8 tiles cut from one stomach biopsy slide, H&E stain, 20× magnification.
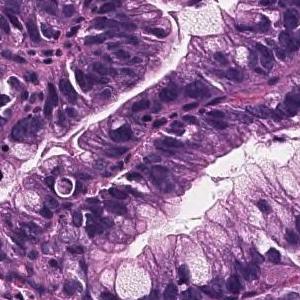
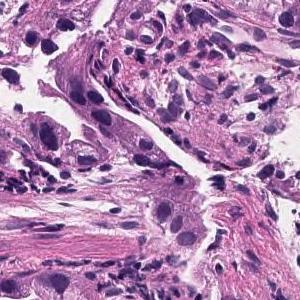
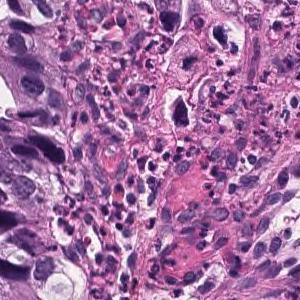
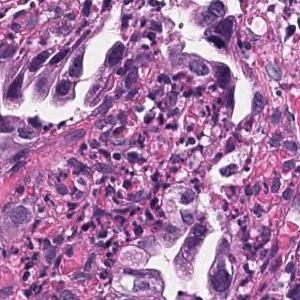
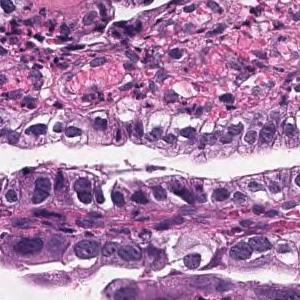
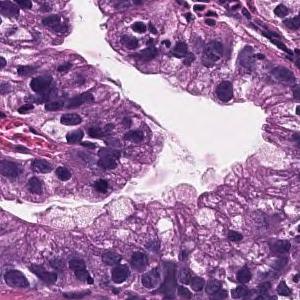
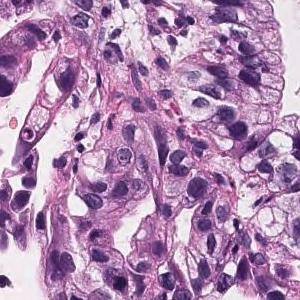
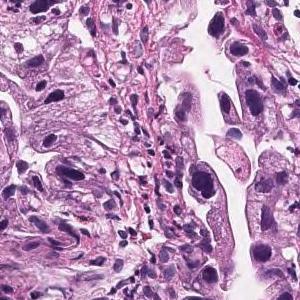
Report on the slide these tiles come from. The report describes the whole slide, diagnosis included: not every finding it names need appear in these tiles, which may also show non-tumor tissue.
Tumor cells are large, highly columnar, large club-shaped nuclei, and are associated with chromatin aggregation. Papillary adenocarcinoma.
